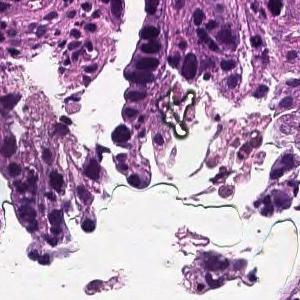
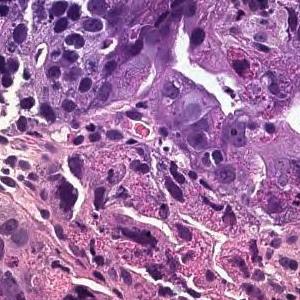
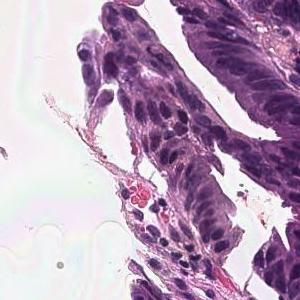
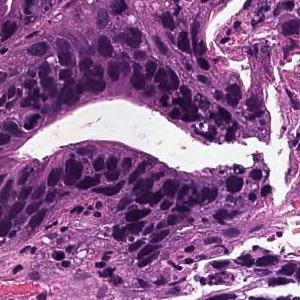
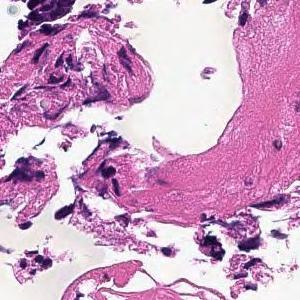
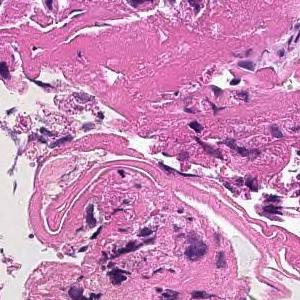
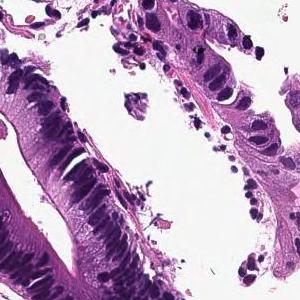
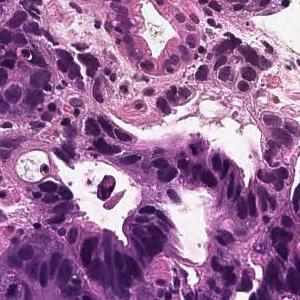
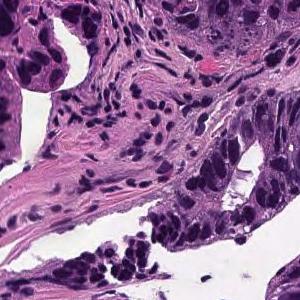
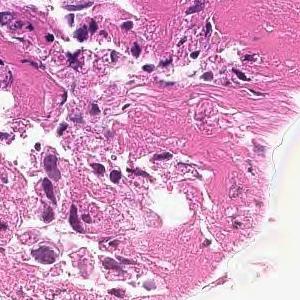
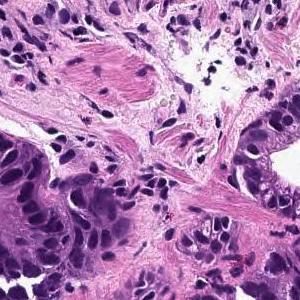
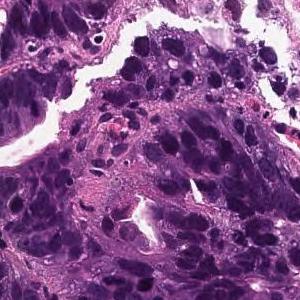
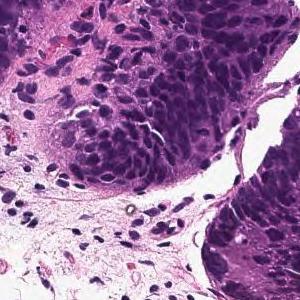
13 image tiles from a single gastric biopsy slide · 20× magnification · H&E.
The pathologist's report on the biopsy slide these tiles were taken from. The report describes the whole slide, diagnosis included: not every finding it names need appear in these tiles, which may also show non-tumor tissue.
In the superficial epithelium, tumor tissue that invades by forming medium-sized to small, irregular ducts is observed. moderately differentiated tubular adenocarcinoma.
